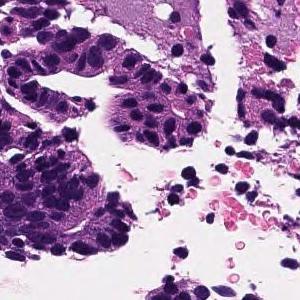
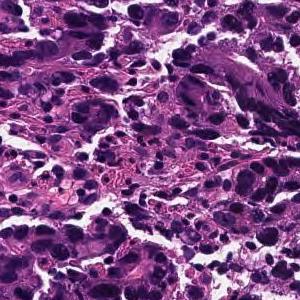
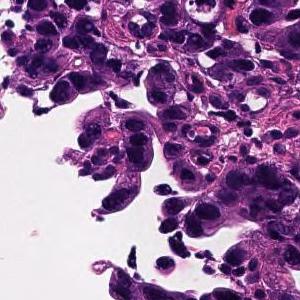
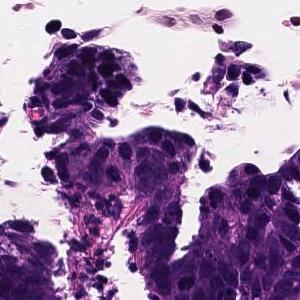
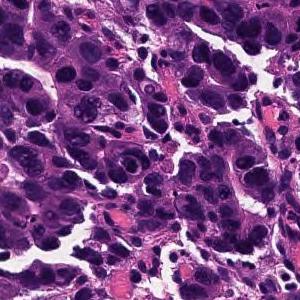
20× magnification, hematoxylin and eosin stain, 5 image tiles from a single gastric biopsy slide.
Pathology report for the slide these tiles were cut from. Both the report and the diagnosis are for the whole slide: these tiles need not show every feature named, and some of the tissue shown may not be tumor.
In the superficial epithelium, tumor tissue that invades by forming medium-sized to small, irregular ducts is observed. moderately differentiated tubular adenocarcinoma.
